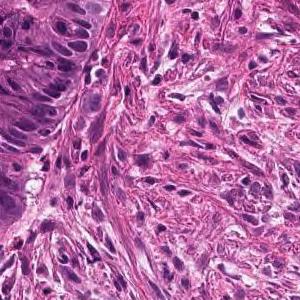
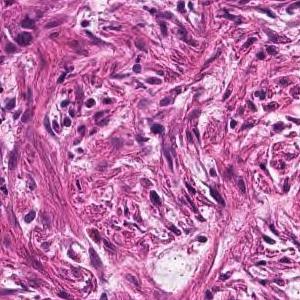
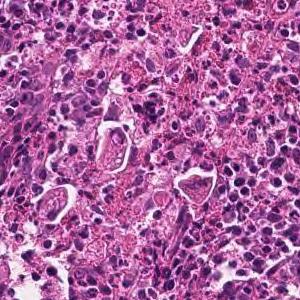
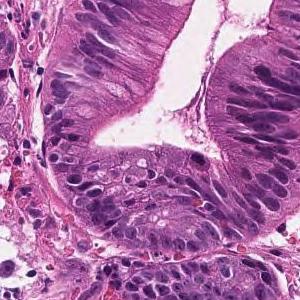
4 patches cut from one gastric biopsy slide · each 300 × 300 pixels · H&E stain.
Report on the slide these tiles come from. The report and the diagnosis cover the entire slide, so not every feature they name need be visible here, and some tissue shown may not be tumor.
Medium to small, irregular glandular ducts are formed in the superficial epithelium, and in some cases, the glandular ducts are fused to show solid alveolar lesions and infiltrating tumor tissue is observed. Moderately to poorly differentiated adenocarcinoma.
